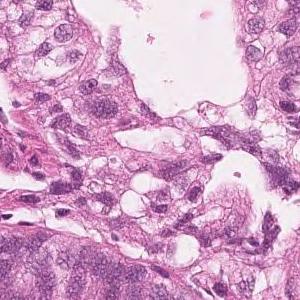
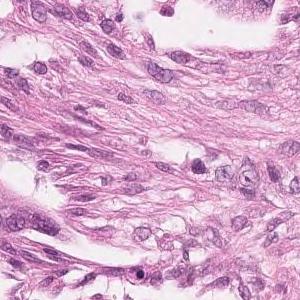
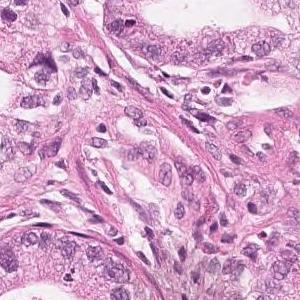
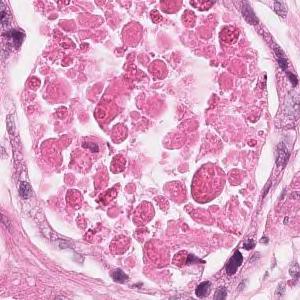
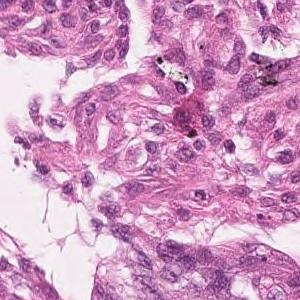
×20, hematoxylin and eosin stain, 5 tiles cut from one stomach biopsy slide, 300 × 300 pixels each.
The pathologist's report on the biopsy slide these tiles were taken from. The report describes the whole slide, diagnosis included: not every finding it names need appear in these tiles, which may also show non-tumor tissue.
Highly columnar epithelium with disordered nuclear localization proliferates showing fusion ductal construction. moderately differentiated tubular adenocarcinoma
